16 tiles cut from one stomach biopsy slide, 20× magnification.
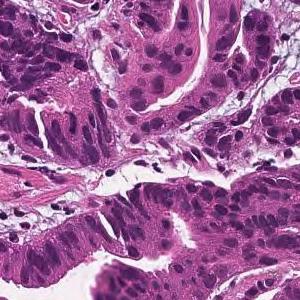
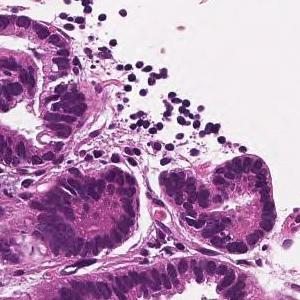
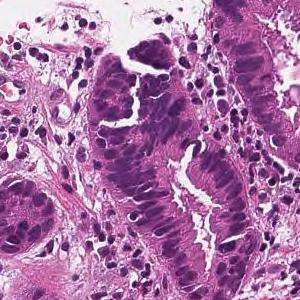
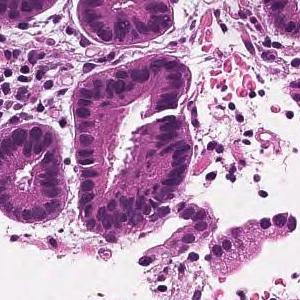
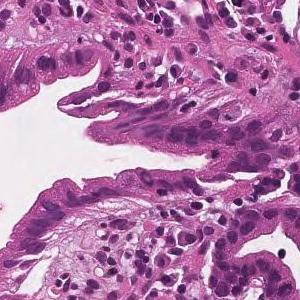
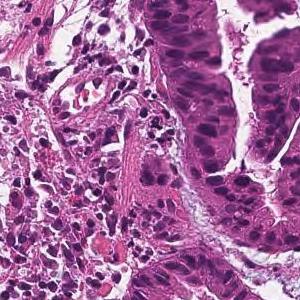
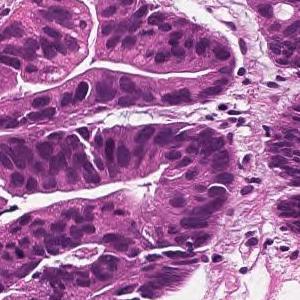
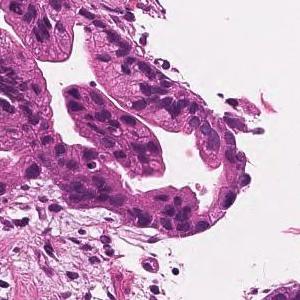
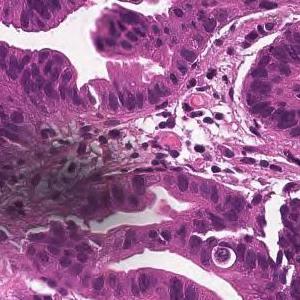
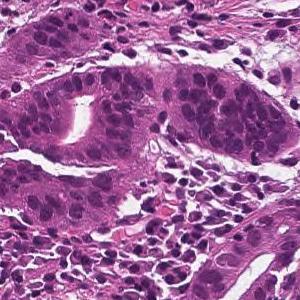
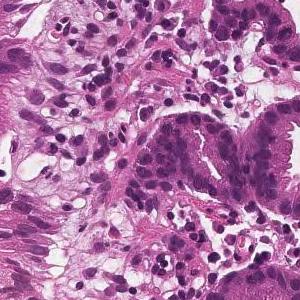
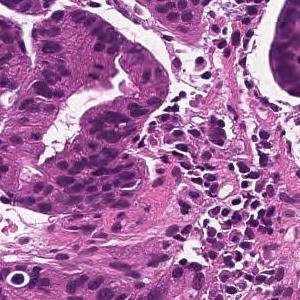
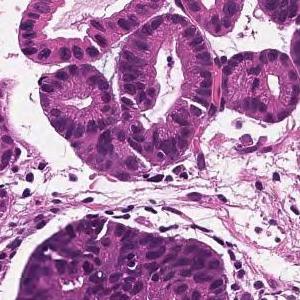
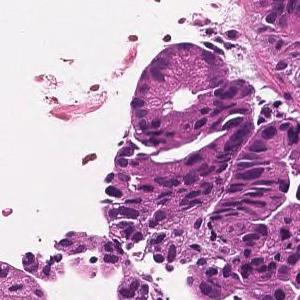
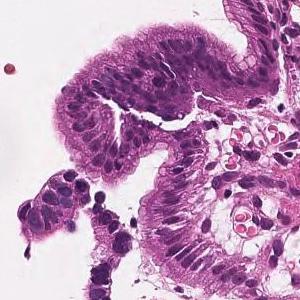
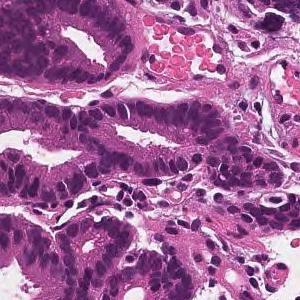
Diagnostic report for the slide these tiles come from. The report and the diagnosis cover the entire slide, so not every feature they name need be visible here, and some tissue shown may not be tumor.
From the superficial epithelium to the muscularis mucosae, tumor tissue consisting of medium-sized and irregular glandular ducts infiltrating is observed. Well differentiated tubular adenocarcinoma
